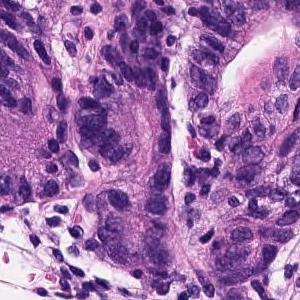
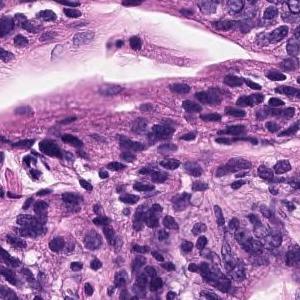
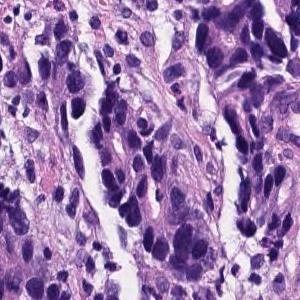
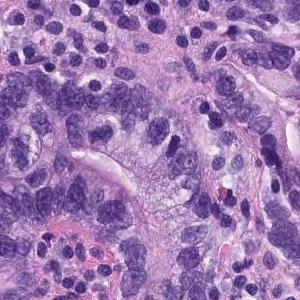
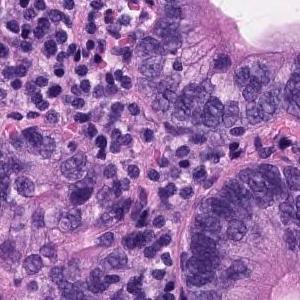
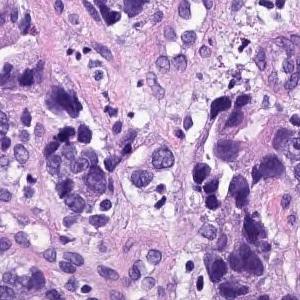
6 patches cut from one gastric biopsy slide.
The pathologist's report on the biopsy slide these tiles were taken from. The findings and the diagnosis refer to the entire slide; these tiles show only part of it, possibly with non-tumor tissue, and may not show every feature named.
On the superficial epithelium, tumor tissue consisting of images showing invasive growth with small, irregular tubules partially fused is observed. moderately differentiated tubular adenocarcinoma
